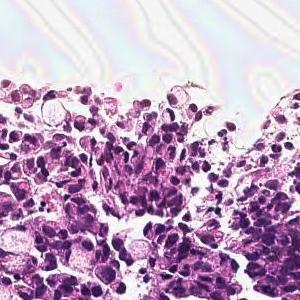
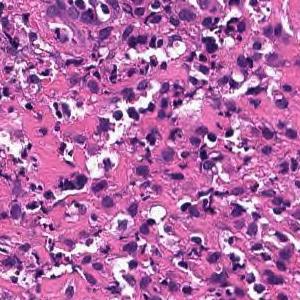
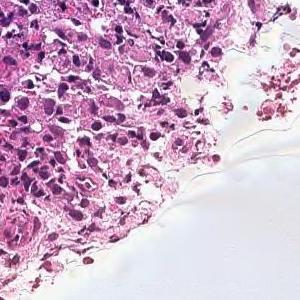
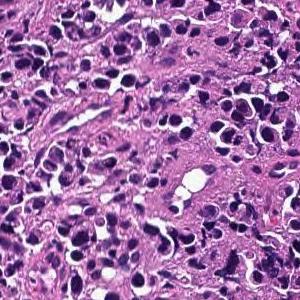
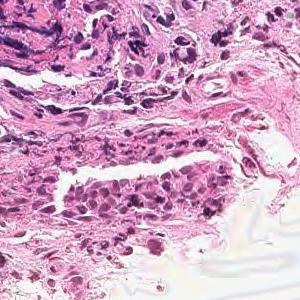
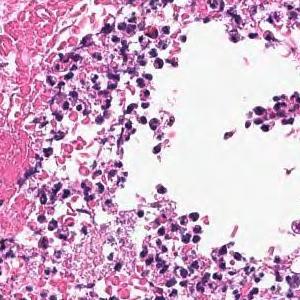
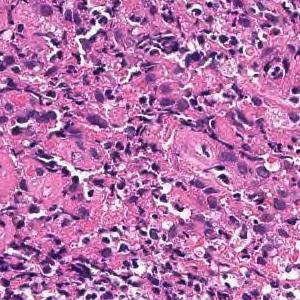
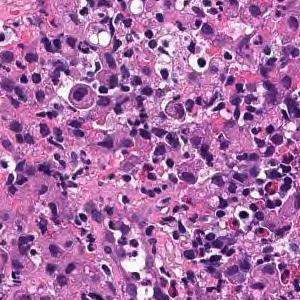
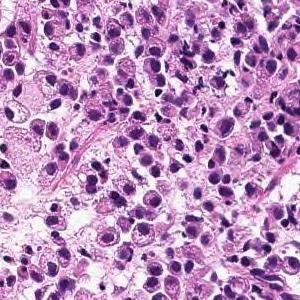
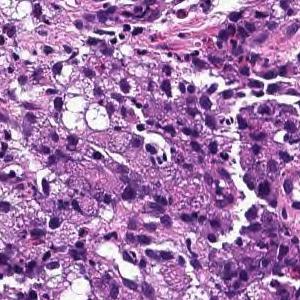
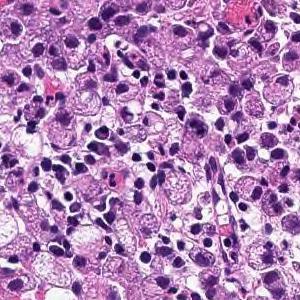
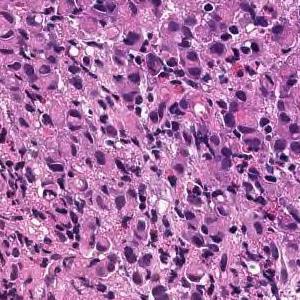
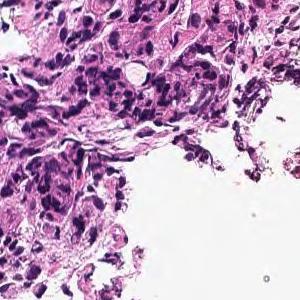
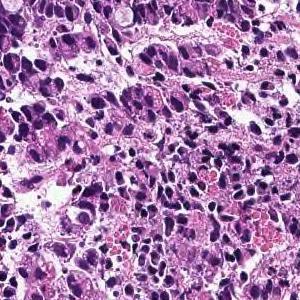
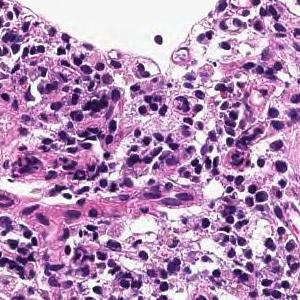
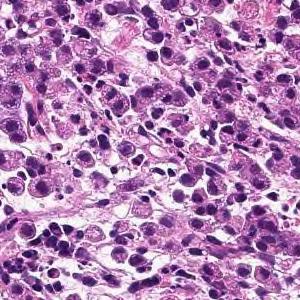
Hematoxylin and eosin stain; ×20; 16 image tiles from a single gastric biopsy slide.
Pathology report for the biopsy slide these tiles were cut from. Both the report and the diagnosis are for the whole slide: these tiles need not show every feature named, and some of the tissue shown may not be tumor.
Tumor tissue consisting of diffusely infiltrated large atypical epithelial cells or signet ring atypical cells is observed in the superficial epithelium. Poorly differentiated adenocarcinoma, solid-type
Histological subtype: Poorly differentiated adenocarcinoma, solid type, a category of the Japanese Classification of Gastric Carcinoma; in the WHO 2019 classification it is tubular adenocarcinoma, poorly differentiated.
